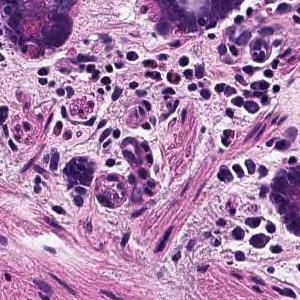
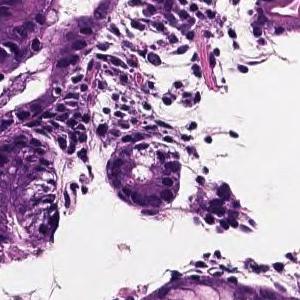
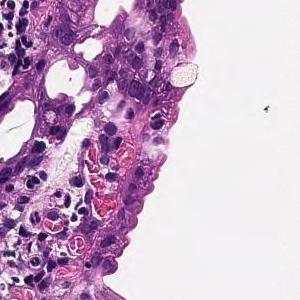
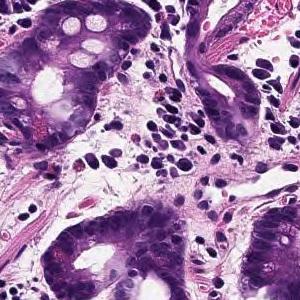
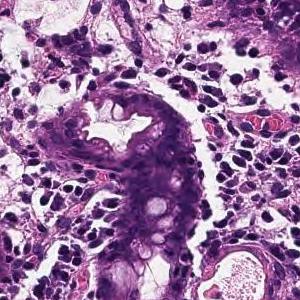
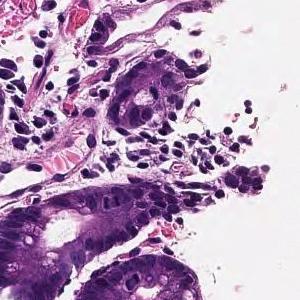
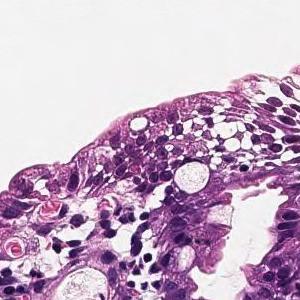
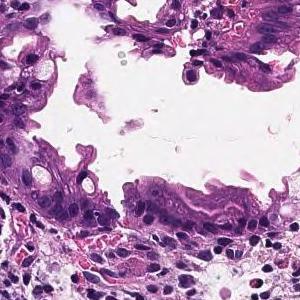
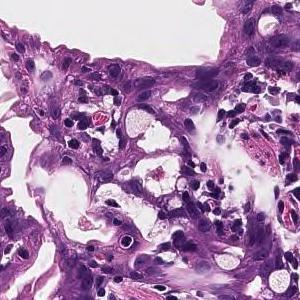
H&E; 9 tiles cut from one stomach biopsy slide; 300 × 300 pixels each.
Pathology report for the biopsy slide these tiles were cut from. The report and the diagnosis describe the slide as a whole, so these tiles may not show every feature named and may include non-tumor tissue.
In the superficial epithelium, tumor tissue that invades by forming medium-sized to small, irregular ducts is observed. moderately differentiated tubular adenocarcinoma.
